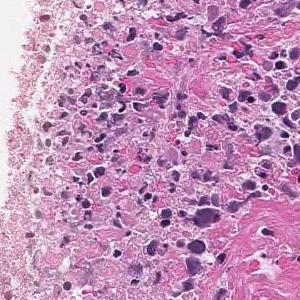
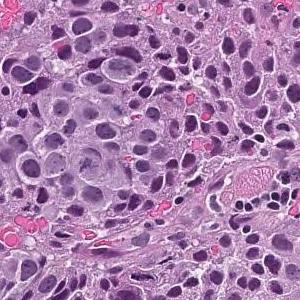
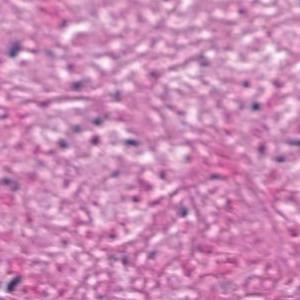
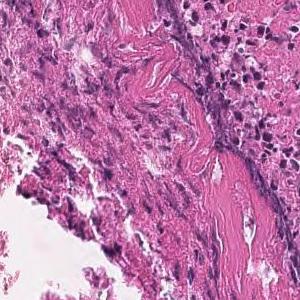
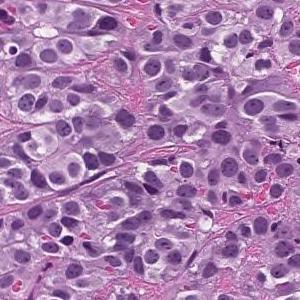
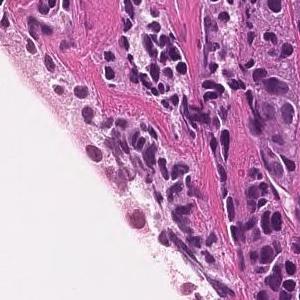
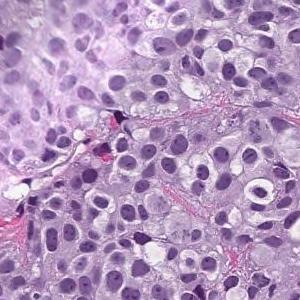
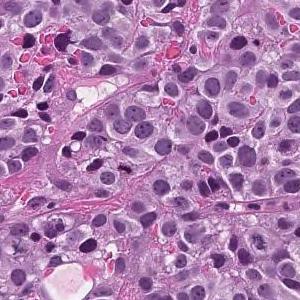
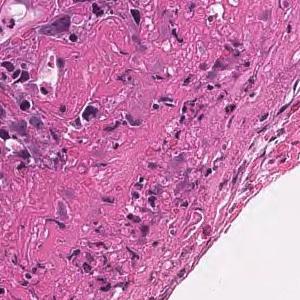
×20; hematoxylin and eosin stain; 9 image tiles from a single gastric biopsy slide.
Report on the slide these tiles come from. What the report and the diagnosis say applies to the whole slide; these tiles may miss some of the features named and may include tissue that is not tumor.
The superficial epithelium shows a large sheet-like shape, and some tumor tissue infiltrates with small irregular ducts. Poorly differentiated adenocarcinoma, solid-type
Tumor subtype: poorly differentiated adenocarcinoma, solid type. This name comes from the Japanese Classification of Gastric Carcinoma; the WHO 2019 classification calls it tubular adenocarcinoma, poorly differentiated.
